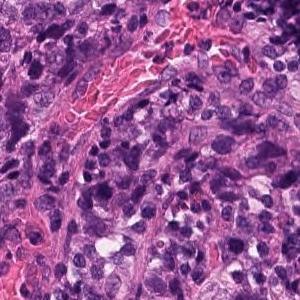
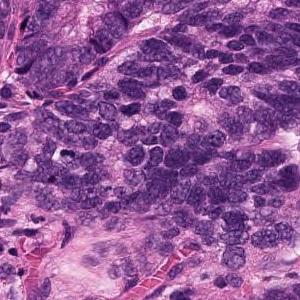
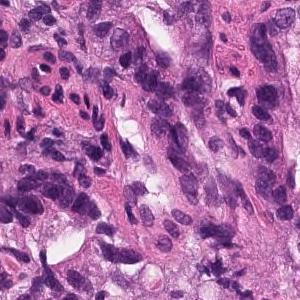
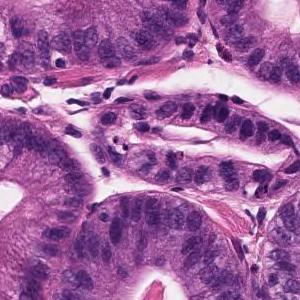
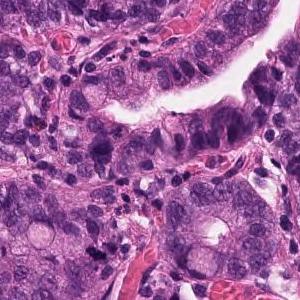
5 tiles cut from one stomach biopsy slide; ×20; hematoxylin and eosin stain.
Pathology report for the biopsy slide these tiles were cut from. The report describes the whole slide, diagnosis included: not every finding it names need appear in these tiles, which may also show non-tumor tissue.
In the superficial epithelium, tumor tissue that invades by forming medium-sized to small, irregular ducts is observed. Moderately differentiated adenocarcinoma.
Histological subtype: Moderately differentiated tubular adenocarcinoma.
